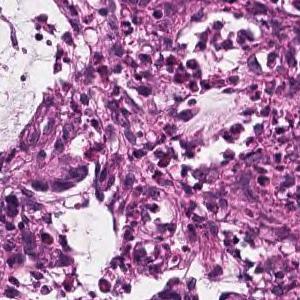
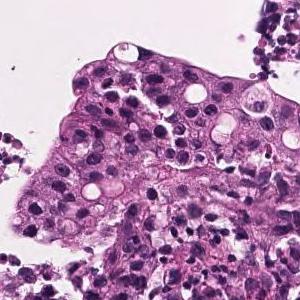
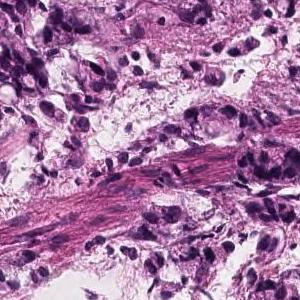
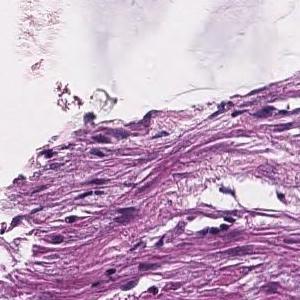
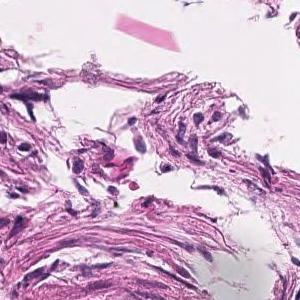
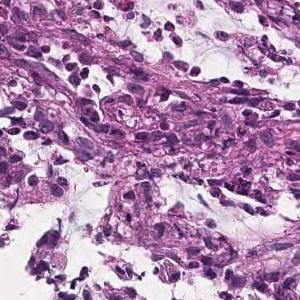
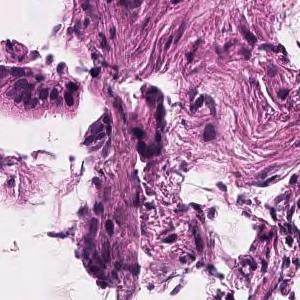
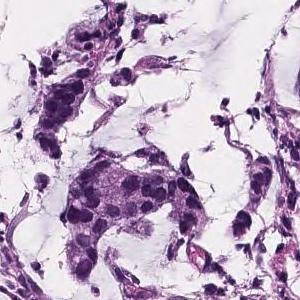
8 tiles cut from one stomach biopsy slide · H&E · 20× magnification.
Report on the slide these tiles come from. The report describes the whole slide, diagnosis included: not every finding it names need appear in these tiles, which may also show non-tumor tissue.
Atypical epithelial cells form obscure ductal structures or small solid follicles, and tumor tissue that proliferates invasively with proliferation of inflammatory granulation tissue is observed. Mucinous adenocarcinoma .
